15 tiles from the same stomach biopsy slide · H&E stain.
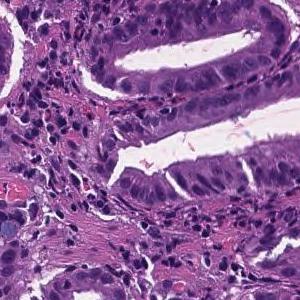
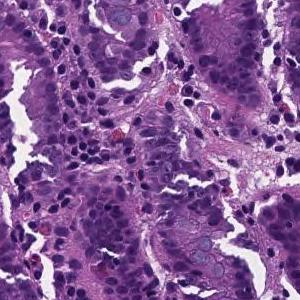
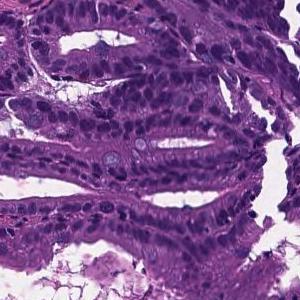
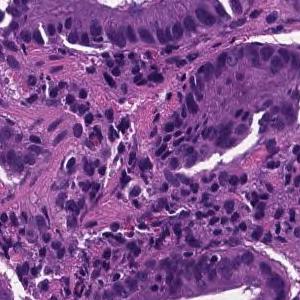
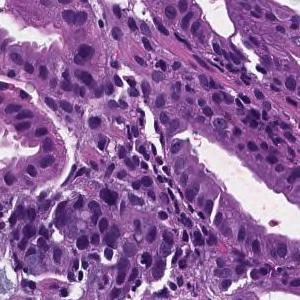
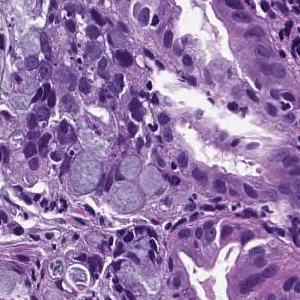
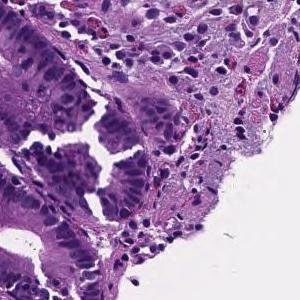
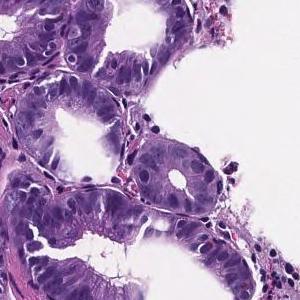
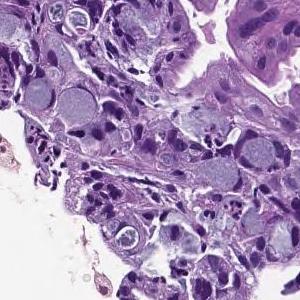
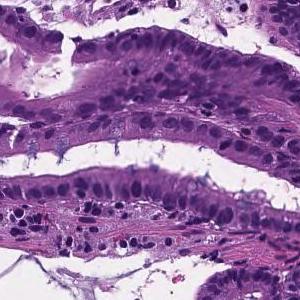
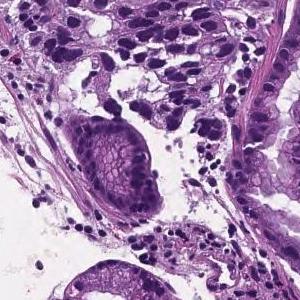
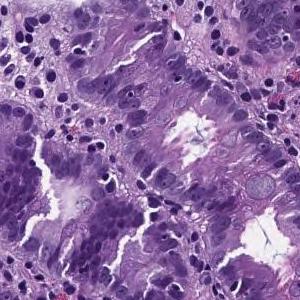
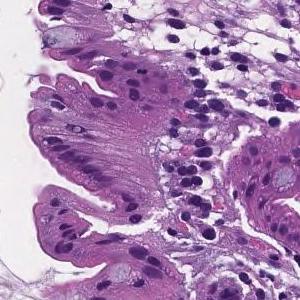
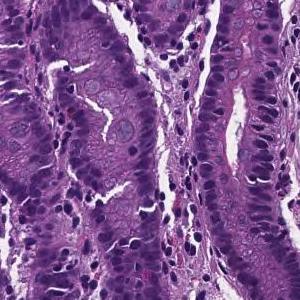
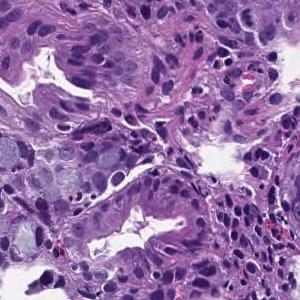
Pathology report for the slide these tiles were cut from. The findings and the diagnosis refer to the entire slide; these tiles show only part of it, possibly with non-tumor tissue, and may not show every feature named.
In the superficial epithelium, tumor tissue that invades by forming medium-sized to small, irregular ducts is observed. moderately differentiated tubular adenocarcinoma.
